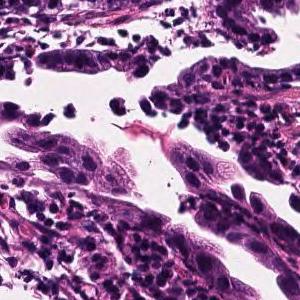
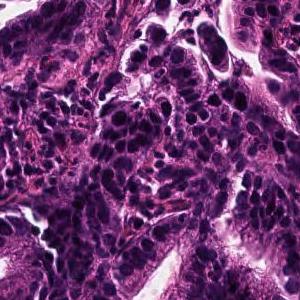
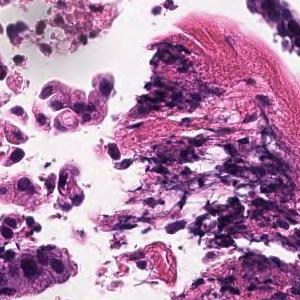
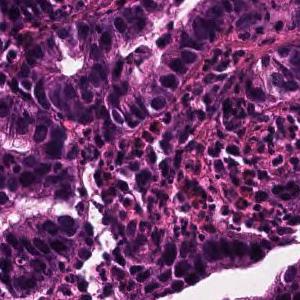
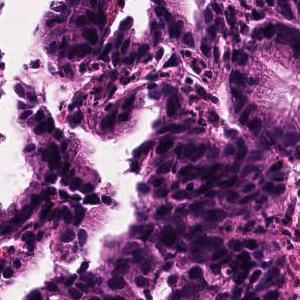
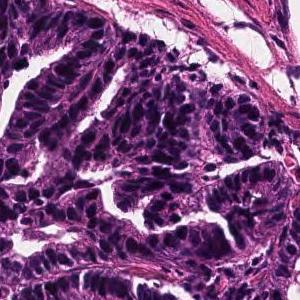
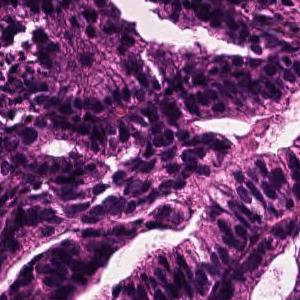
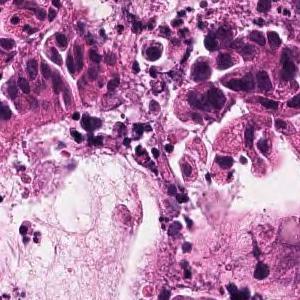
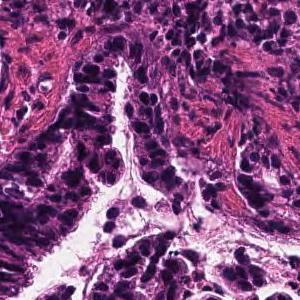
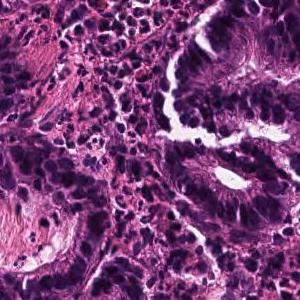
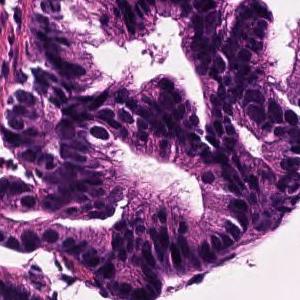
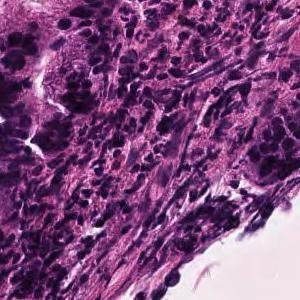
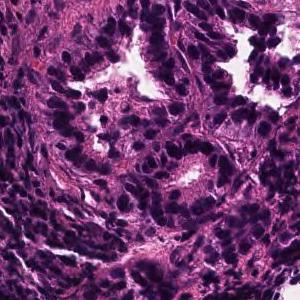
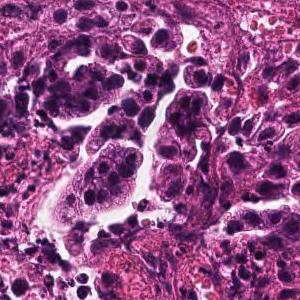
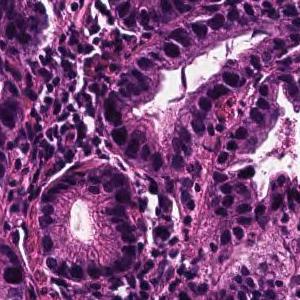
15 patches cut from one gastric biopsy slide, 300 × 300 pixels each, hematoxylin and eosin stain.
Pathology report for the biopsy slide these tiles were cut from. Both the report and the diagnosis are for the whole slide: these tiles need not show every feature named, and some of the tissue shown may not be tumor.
Tumor tissue consisting of large papillary structures is found in the superficial epithelium. Papillary adenocarcinoma.
